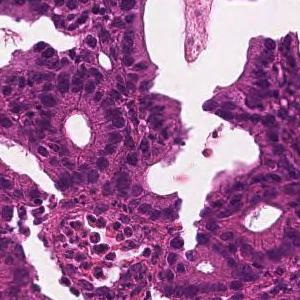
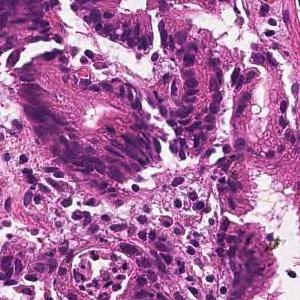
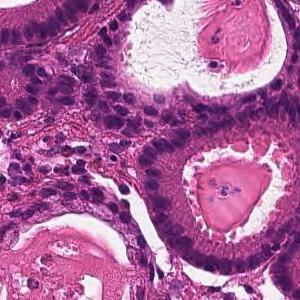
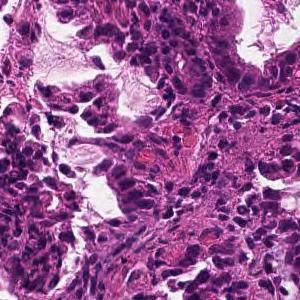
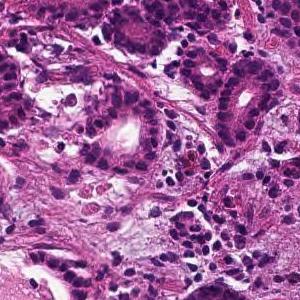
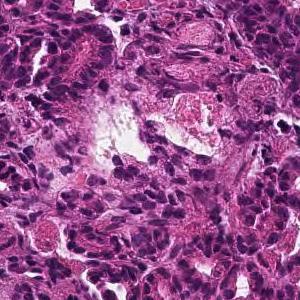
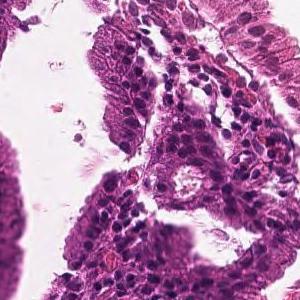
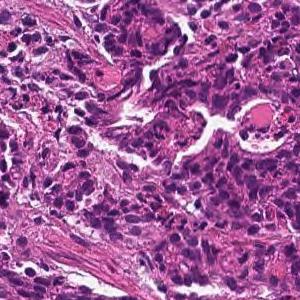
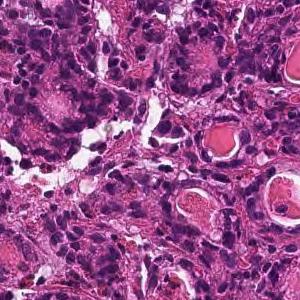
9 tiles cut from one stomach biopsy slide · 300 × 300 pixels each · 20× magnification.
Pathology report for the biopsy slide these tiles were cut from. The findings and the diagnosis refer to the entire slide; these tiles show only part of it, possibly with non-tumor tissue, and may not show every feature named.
From the superficial epithelium to the muscularis mucosae, tumor tissue consisting of medium-sized and irregular glandular ducts infiltrating is observed. Well differentiated tubular adenocarcinoma
